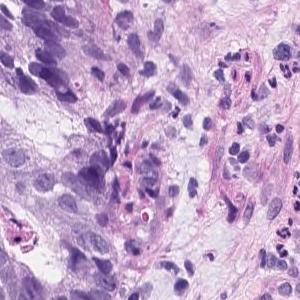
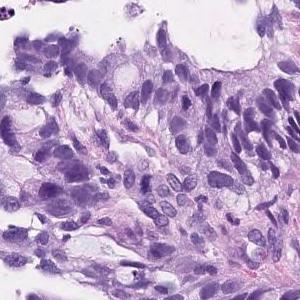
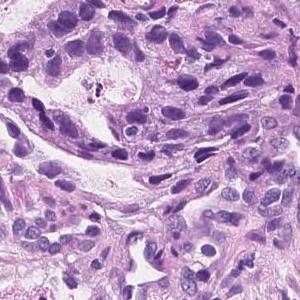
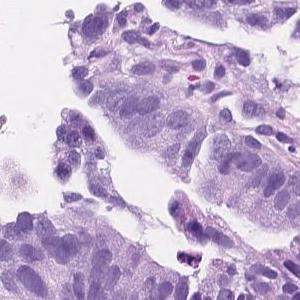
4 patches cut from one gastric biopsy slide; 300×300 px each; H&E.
Diagnostic report for the slide these tiles come from. Both the report and the diagnosis are for the whole slide: these tiles need not show every feature named, and some of the tissue shown may not be tumor.
On the superficial epithelium, tumor tissue consisting of an image of large, irregular glandular ducts partially fused and infiltrated is observed. Well to moderately differentiated tubular adenocarcinoma
